20× magnification, 10 image tiles from a single gastric biopsy slide, 300 × 300 pixels each.
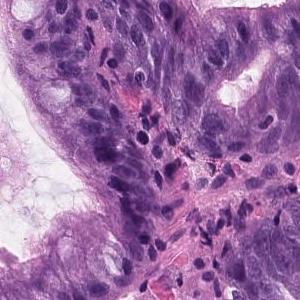
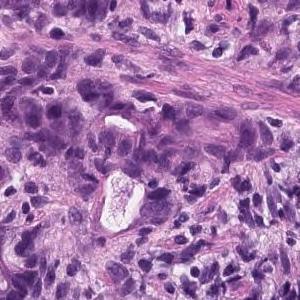
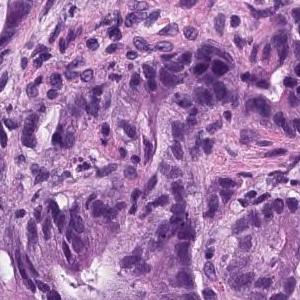
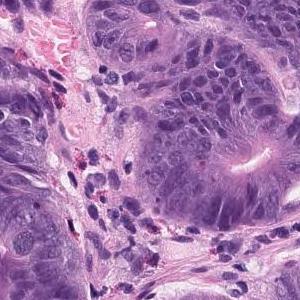
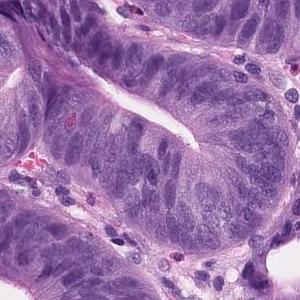
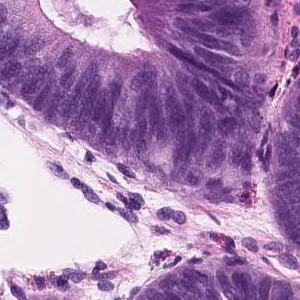
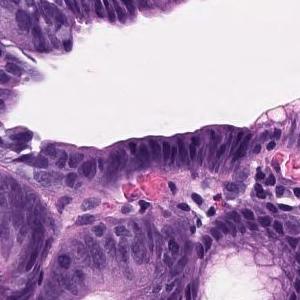
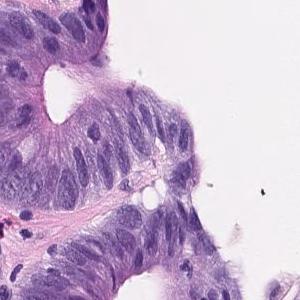
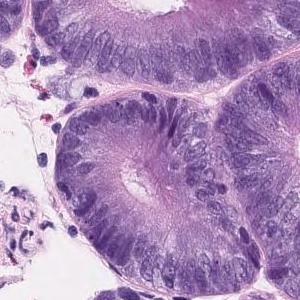
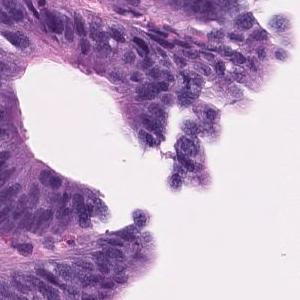
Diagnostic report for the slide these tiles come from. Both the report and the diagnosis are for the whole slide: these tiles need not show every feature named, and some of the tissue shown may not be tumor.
On the superficial epithelium, tumor tissue with densely growing medium to large, round tubules is observed. Tumor cells are highly columnar, with nuclei aligned basolaterally and polarized. Well differentiated tubular adenocarcinoma
